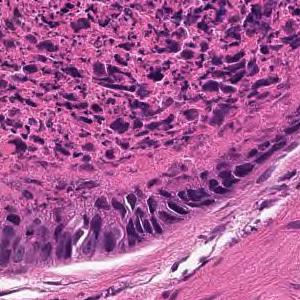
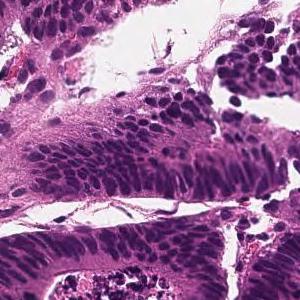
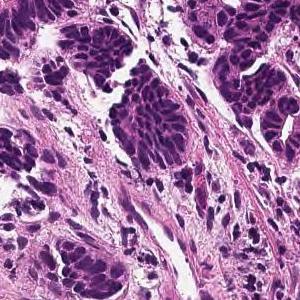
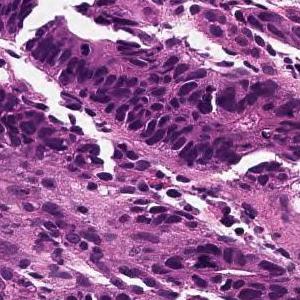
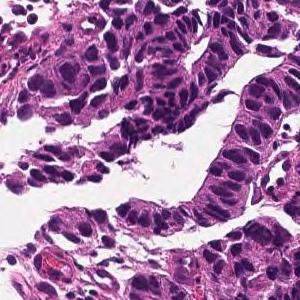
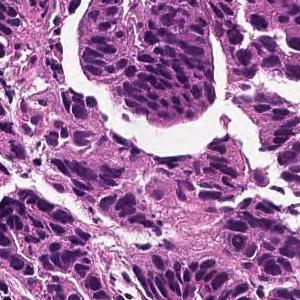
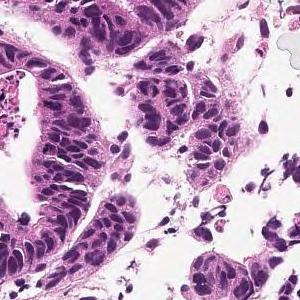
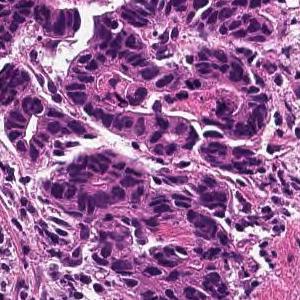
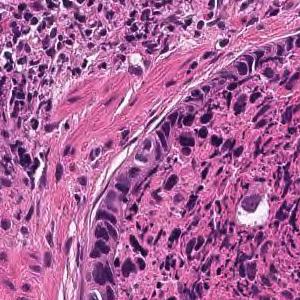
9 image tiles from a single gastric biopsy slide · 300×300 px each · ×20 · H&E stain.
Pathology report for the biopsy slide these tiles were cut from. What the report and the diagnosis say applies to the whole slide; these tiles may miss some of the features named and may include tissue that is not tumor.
From the superficial epithelium to the muscularis mucosae, tumor tissue consisting of medium-sized and irregular glandular ducts infiltrating is observed. Well differentiated tubular adenocarcinoma
